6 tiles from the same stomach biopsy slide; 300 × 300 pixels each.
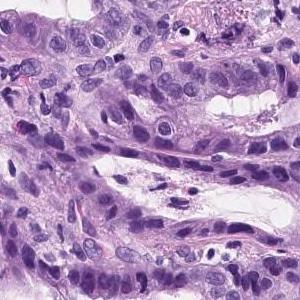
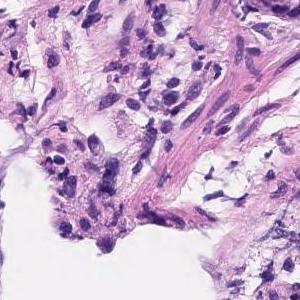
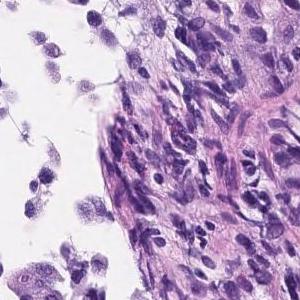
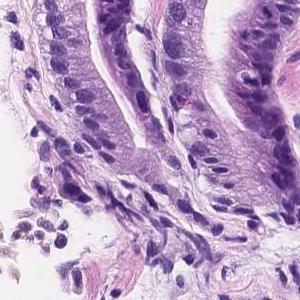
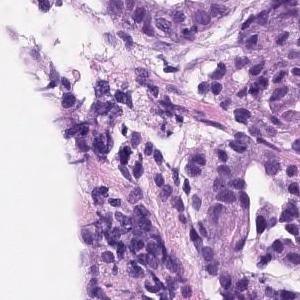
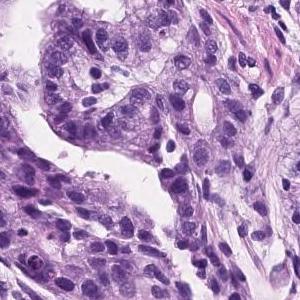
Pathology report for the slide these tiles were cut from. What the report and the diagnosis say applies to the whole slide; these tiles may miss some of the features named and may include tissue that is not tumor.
Tumor tissue consisting of medium-sized and irregular ducts is observed infiltrating in the superficial epithelium. Tumor cells are highly columnar, with nuclei aligned basolaterally and polarized. Well differentiated tubular adenocarcinoma.
